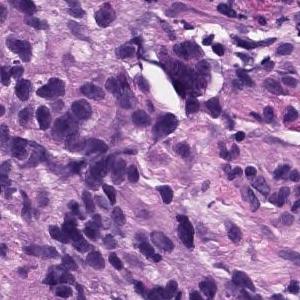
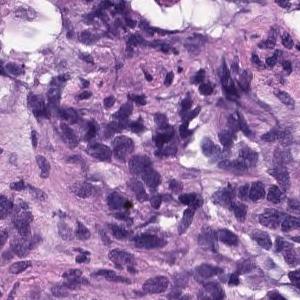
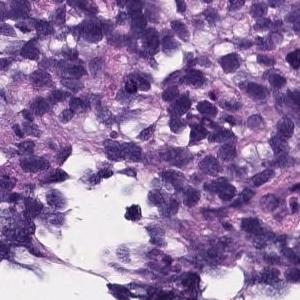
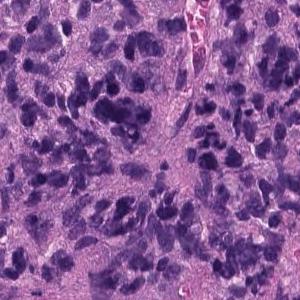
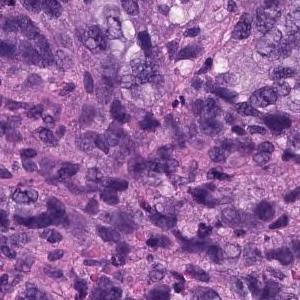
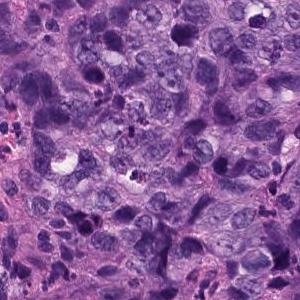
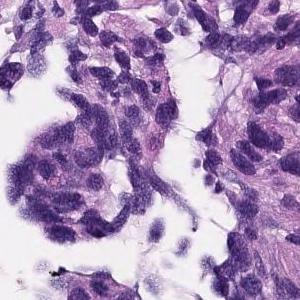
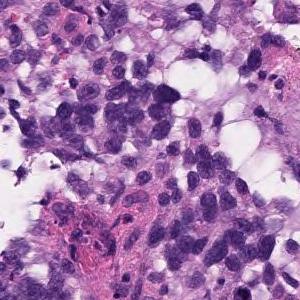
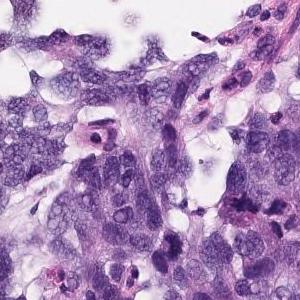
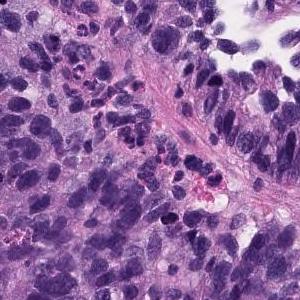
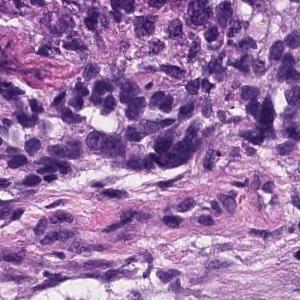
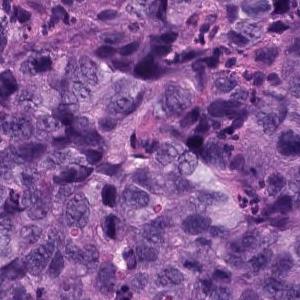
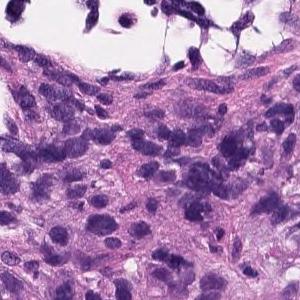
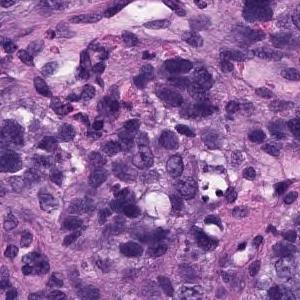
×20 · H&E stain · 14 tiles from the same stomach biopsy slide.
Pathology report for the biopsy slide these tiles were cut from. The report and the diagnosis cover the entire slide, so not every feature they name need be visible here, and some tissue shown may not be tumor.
Atypical l cells with atypical nuclei under the mucosa growing in isolation and scattered. Poorly differentiated adenocarcinoma (poorly differentiated adenocarcinoma, non-solid type)
Histologic type: Poorly differentiated adenocarcinoma, non-solid type.
The term "non-solid type" comes from the Japanese Classification of Gastric Carcinoma.
